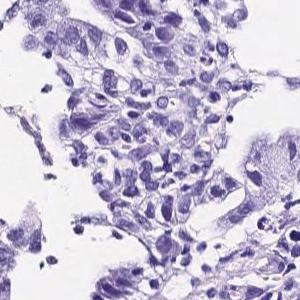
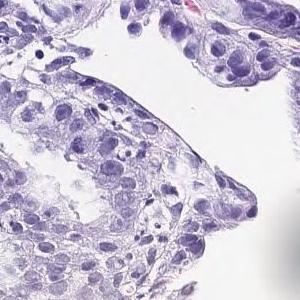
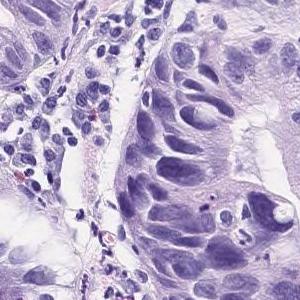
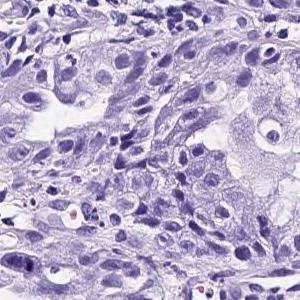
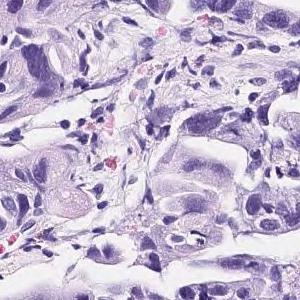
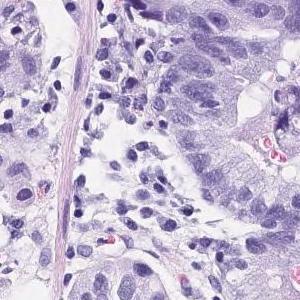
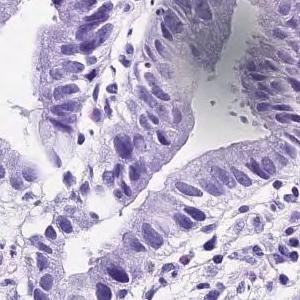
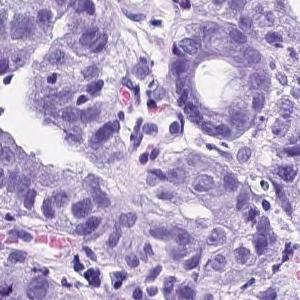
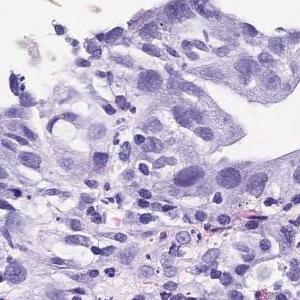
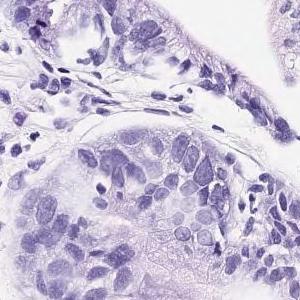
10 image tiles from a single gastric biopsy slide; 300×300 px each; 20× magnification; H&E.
Diagnostic report for the slide these tiles come from. The report describes the whole slide, diagnosis included: not every finding it names need appear in these tiles, which may also show non-tumor tissue.
Tumor tissue consisting of medium-sized and irregular ducts is observed infiltrating in the superficial epithelium. Tumor cells are highly columnar, with nuclei aligned basolaterally and polarized. Well differentiated tubular adenocarcinoma.
